10 tiles from the same stomach biopsy slide · hematoxylin and eosin stain.
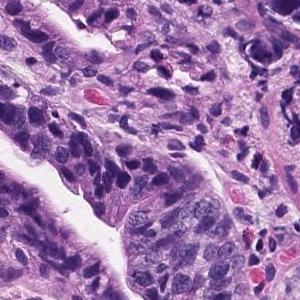
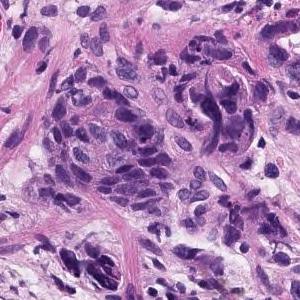
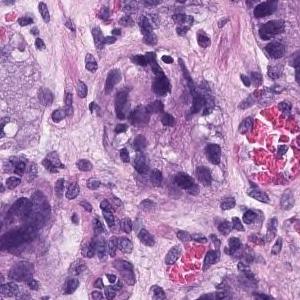
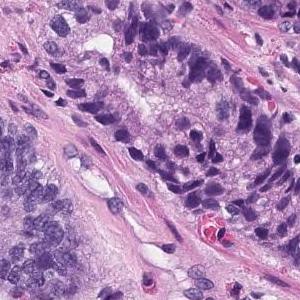
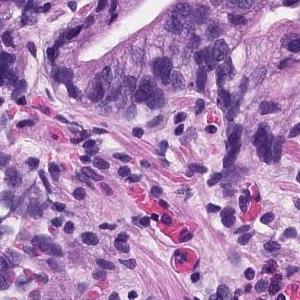
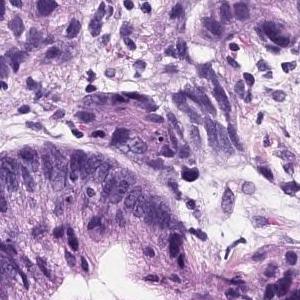
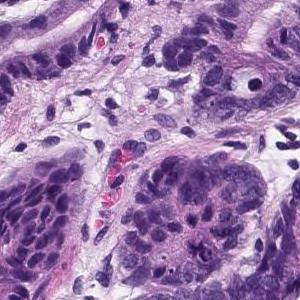
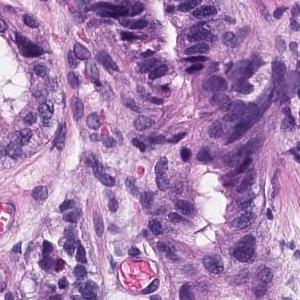
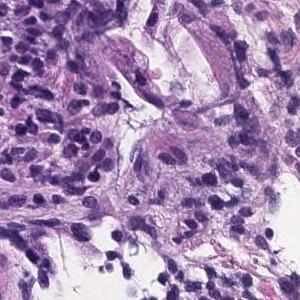
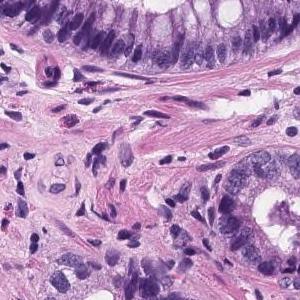
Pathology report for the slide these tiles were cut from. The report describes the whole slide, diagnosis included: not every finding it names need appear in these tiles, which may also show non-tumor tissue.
In the superficial epithelium, tumor tissue that invades by forming medium-sized to small, irregular ducts is observed. Moderately differentiated adenocarcinoma.
Subtype: Moderately differentiated tubular adenocarcinoma.
